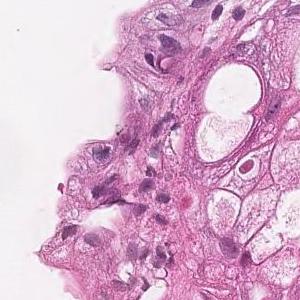
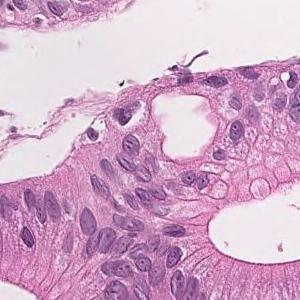
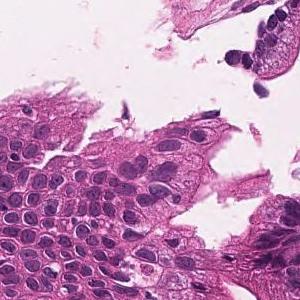
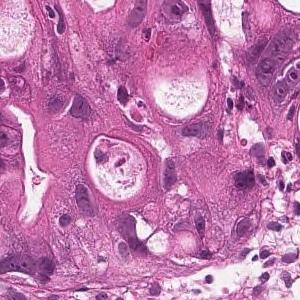
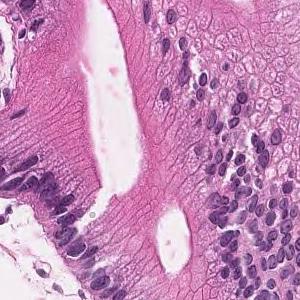
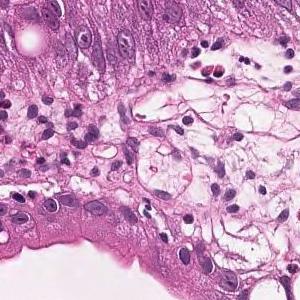
6 tiles from the same stomach biopsy slide · 300×300 px each · 20× magnification · H&E.
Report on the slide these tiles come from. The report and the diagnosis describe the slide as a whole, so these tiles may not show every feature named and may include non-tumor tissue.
On the superficial epithelium, tumor tissue that infiltrates by forming medium-sized papillary or small irregular ducts is observed. Papillary adenocarcinoma
